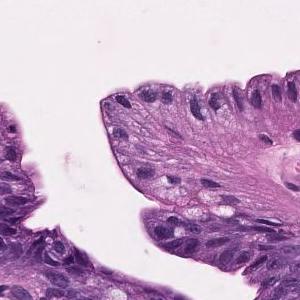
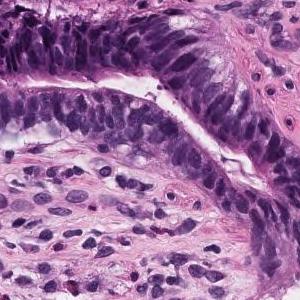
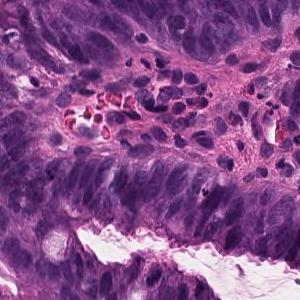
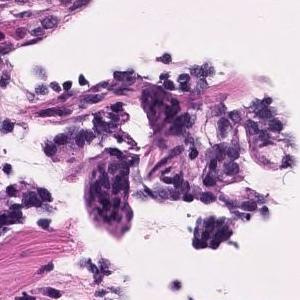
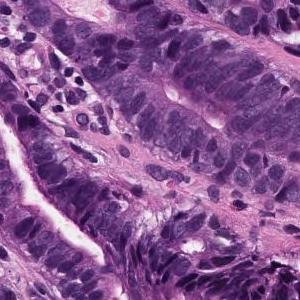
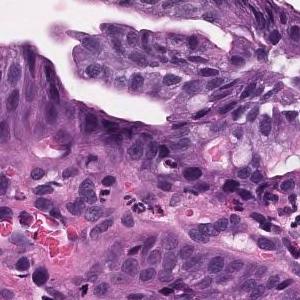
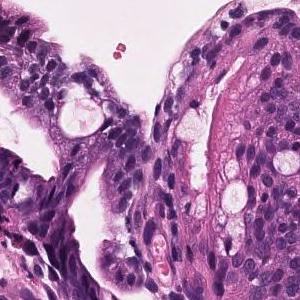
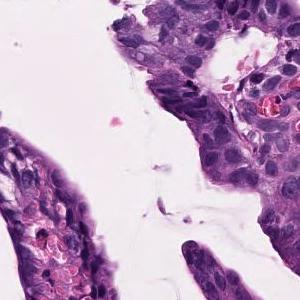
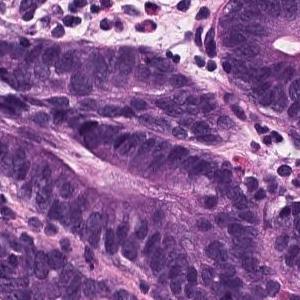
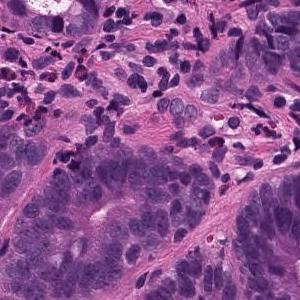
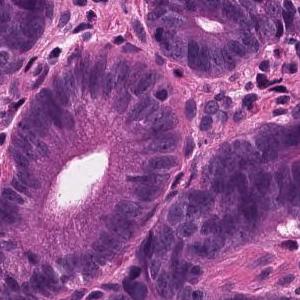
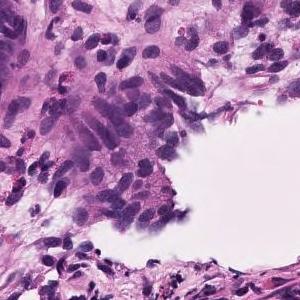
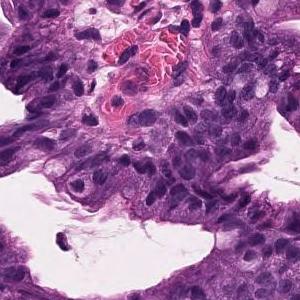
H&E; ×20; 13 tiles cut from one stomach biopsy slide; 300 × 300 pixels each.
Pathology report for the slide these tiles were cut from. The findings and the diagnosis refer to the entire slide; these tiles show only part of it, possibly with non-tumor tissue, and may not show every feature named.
Atypical ducts proliferating while irregularly fusing in the lateral direction is observed. Well differentiated tubular adenocarcinoma
